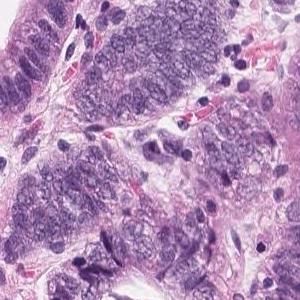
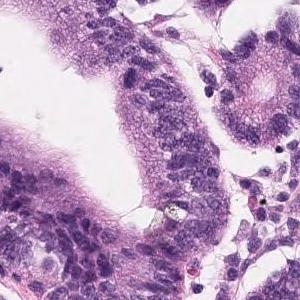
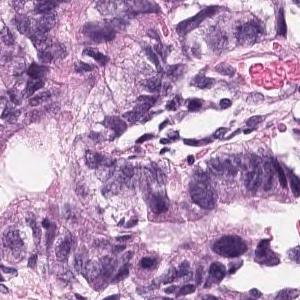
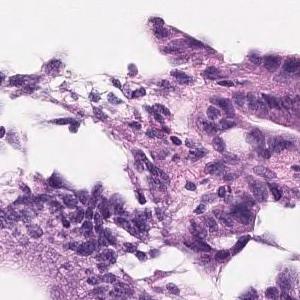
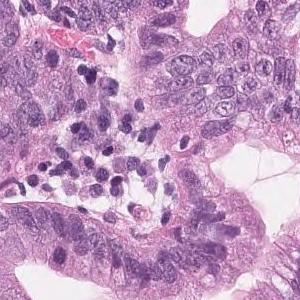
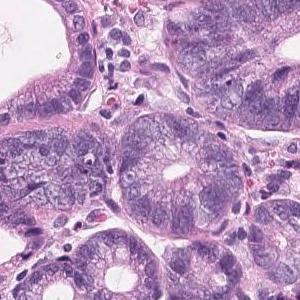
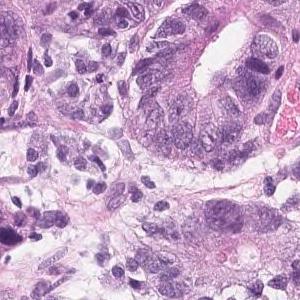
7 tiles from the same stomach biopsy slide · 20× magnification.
The pathologist's report on the biopsy slide these tiles were taken from. What the report and the diagnosis say applies to the whole slide; these tiles may miss some of the features named and may include tissue that is not tumor.
Atypical ducts with severe atypia are densely populated in the superficial epithelium, and tumor tissue with hyperplasia is observed. Well differentiated tubular adenocarcinoma
